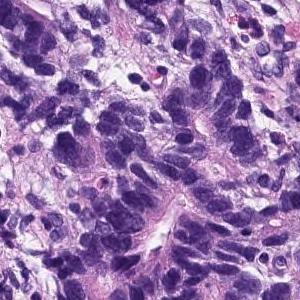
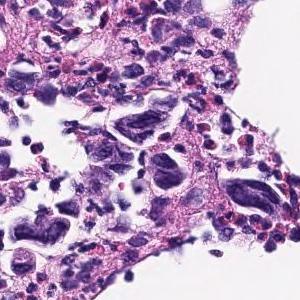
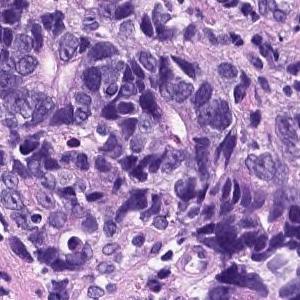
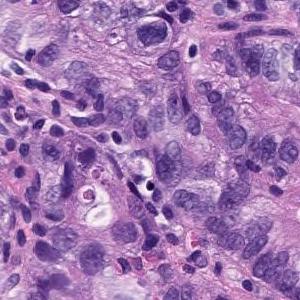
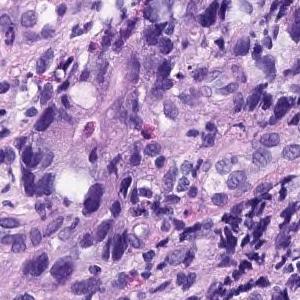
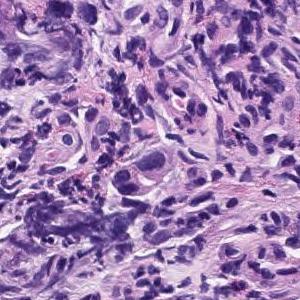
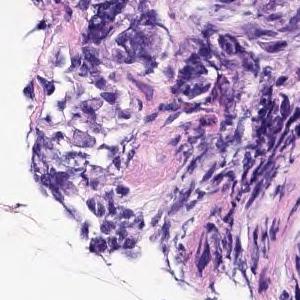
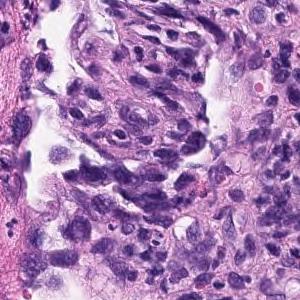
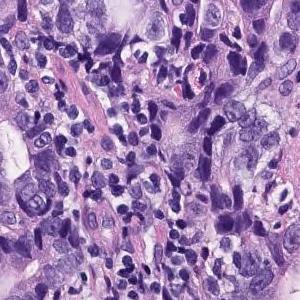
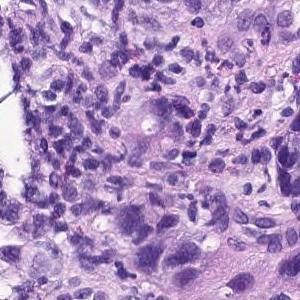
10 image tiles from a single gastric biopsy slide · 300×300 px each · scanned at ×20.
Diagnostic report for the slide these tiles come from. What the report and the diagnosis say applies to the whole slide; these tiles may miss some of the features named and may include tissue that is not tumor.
On the superficial epithelium, tumor tissue consisting of images showing invasive growth with small, irregular tubules partially fused is observed. moderately differentiated tubular adenocarcinoma
